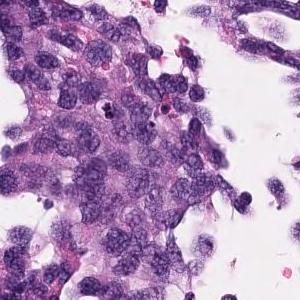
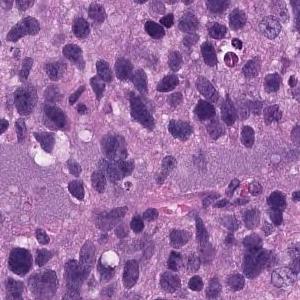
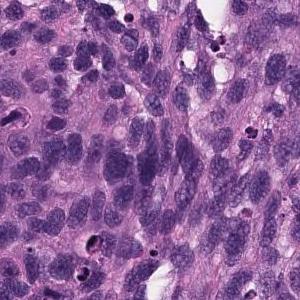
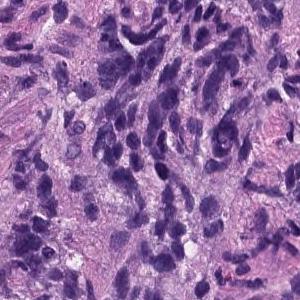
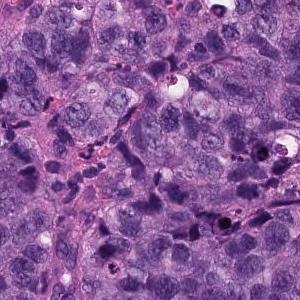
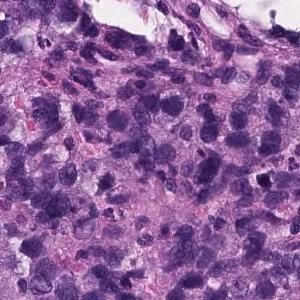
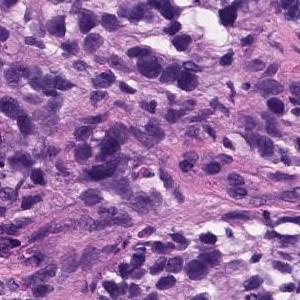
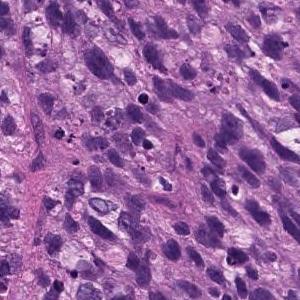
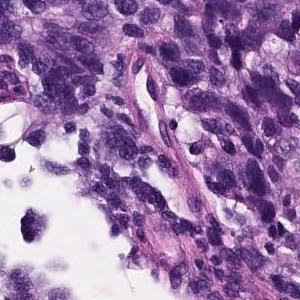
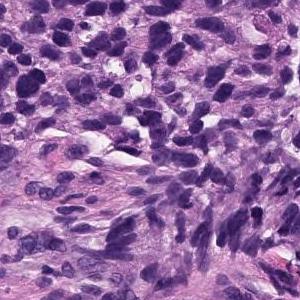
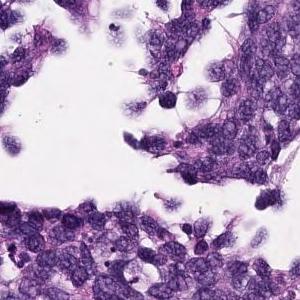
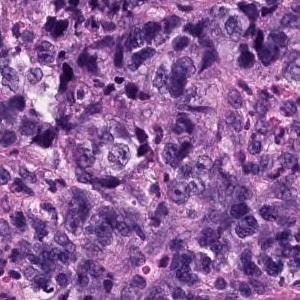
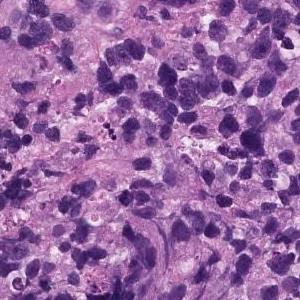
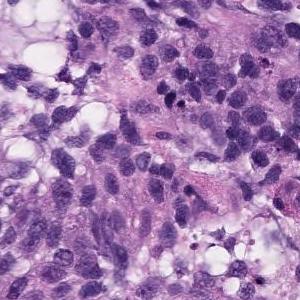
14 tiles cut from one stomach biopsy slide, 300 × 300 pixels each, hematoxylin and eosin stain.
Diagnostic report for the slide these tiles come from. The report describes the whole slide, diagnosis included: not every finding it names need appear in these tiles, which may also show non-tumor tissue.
Atypical l cells with atypical nuclei under the mucosa growing in isolation and scattered. Poorly differentiated adenocarcinoma (poorly differentiated adenocarcinoma, non-solid type)
Histologic type: Poorly differentiated adenocarcinoma, non-solid type.
The term "non-solid type" comes from the Japanese Classification of Gastric Carcinoma.
